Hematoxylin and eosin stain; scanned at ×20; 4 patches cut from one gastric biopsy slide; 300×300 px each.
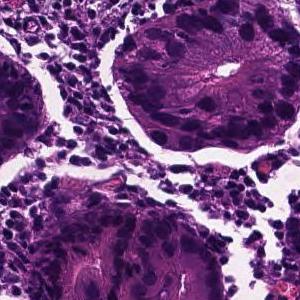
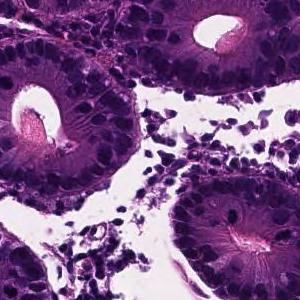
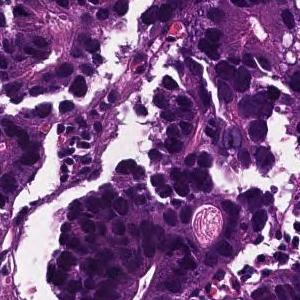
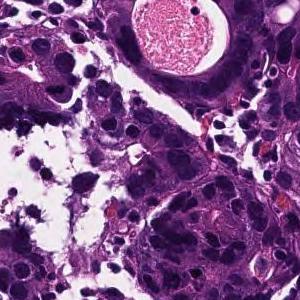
The pathologist's report on the biopsy slide these tiles were taken from. The report describes the whole slide, diagnosis included: not every finding it names need appear in these tiles, which may also show non-tumor tissue.
From the superficial epithelium to the muscularis mucosae, tumor tissue infiltrating by forming medium-sized irregular gland ducts is observed. Large tumor cells exhibit large nucleus and hyperchromatism. Well differentiated tubular adenocarcinoma
